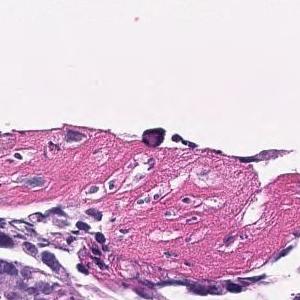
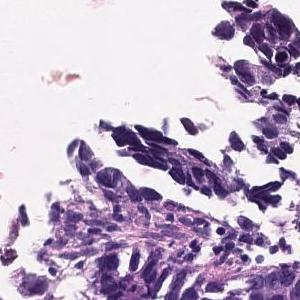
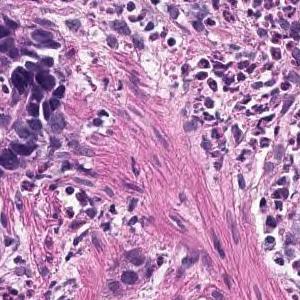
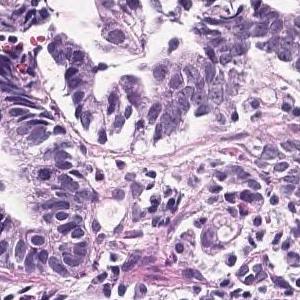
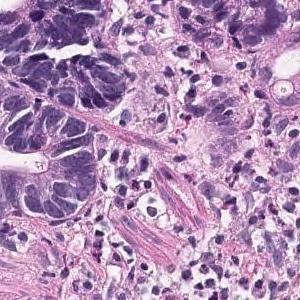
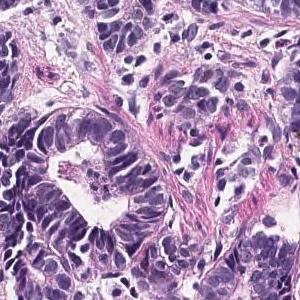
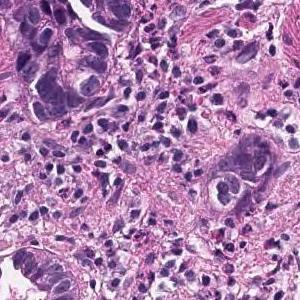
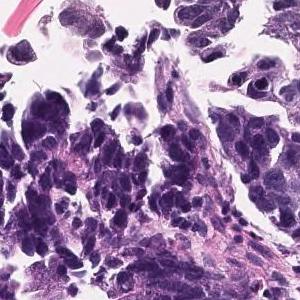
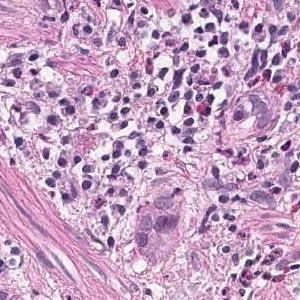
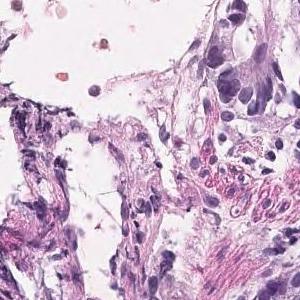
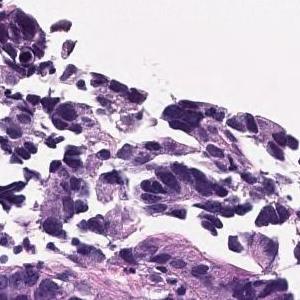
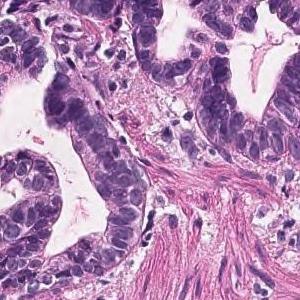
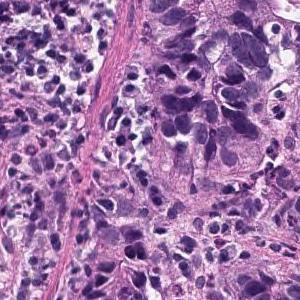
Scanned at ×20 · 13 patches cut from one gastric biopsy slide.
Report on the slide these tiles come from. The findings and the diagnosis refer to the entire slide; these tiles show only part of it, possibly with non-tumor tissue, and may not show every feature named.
In the superficial epithelium, tumor tissue that invades by forming medium-sized to small, irregular ducts is observed. Well differentiated tubular adenocarcinoma.
